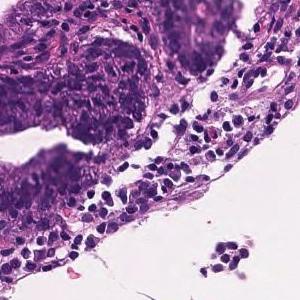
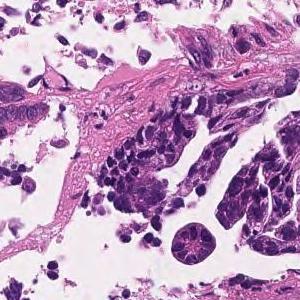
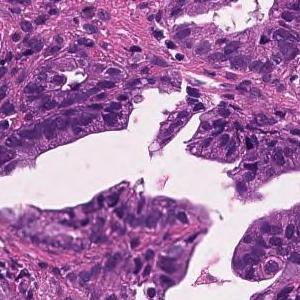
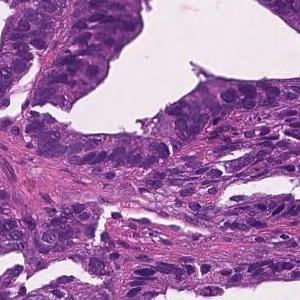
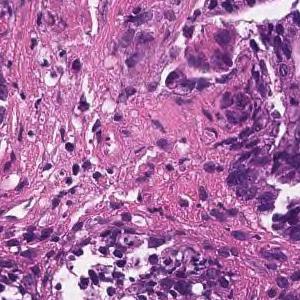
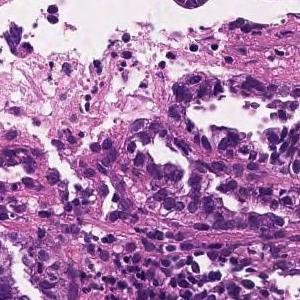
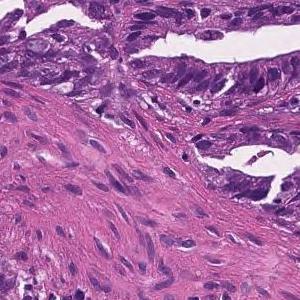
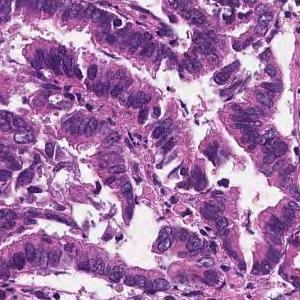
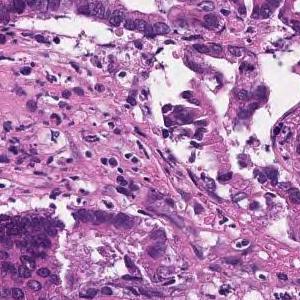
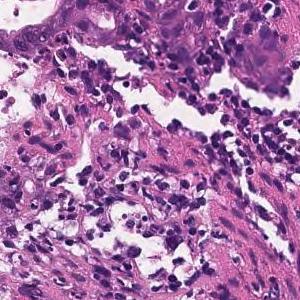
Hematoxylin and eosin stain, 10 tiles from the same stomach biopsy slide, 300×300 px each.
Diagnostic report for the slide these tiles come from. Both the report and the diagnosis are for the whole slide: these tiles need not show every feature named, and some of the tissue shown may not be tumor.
On the superficial epithelium, tumor tissue consisting of large, irregular glandular ducts partially fused and infiltrated is observed. Well to moderately differentiated tubular adenocarcinoma (well differentiated tubular adenocarcinoma, moderately differentiated tubular adenocarcinoma)
Histological subtype: Well to moderately differentiated tubular adenocarcinoma.
